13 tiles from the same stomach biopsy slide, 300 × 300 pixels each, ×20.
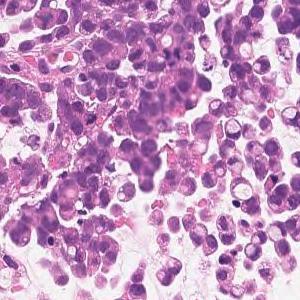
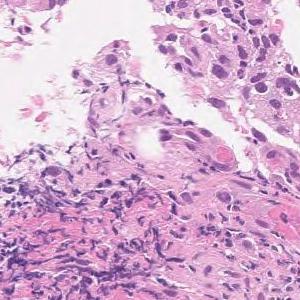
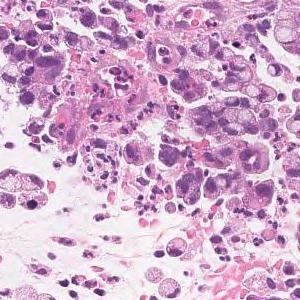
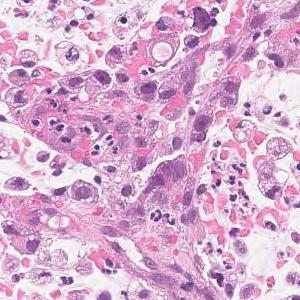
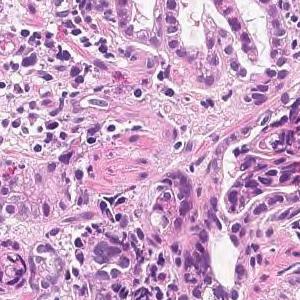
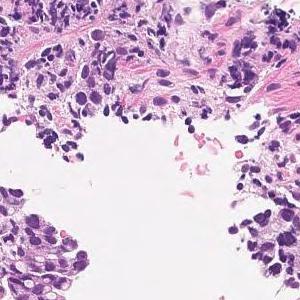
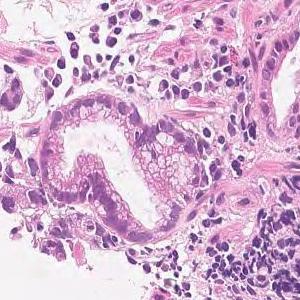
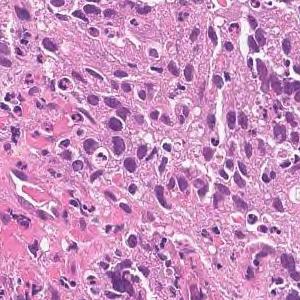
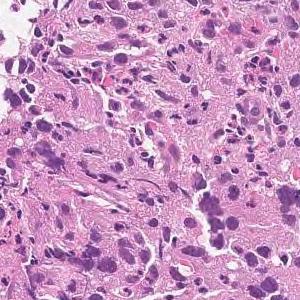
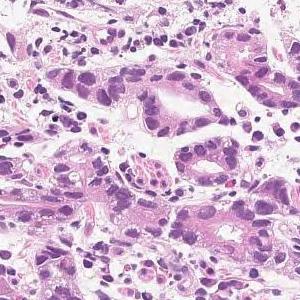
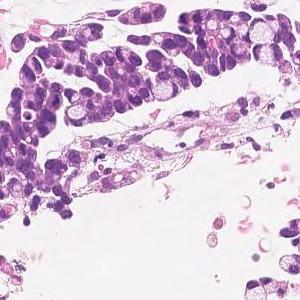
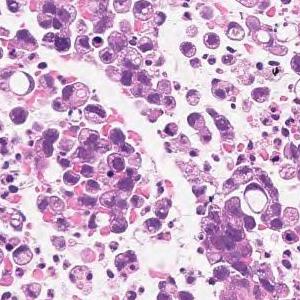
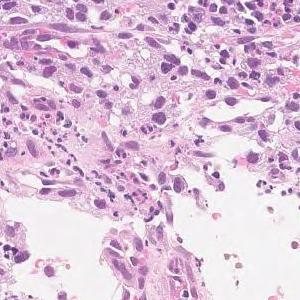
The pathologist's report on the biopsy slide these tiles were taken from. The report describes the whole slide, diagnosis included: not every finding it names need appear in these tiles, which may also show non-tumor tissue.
Medium to small, irregular glandular ducts are formed in the superficial epithelium, and in some cases, the glandular ducts are fused to show solid alveolar lesions and infiltrating tumor tissue is observed. Moderately to poorly differentiated adenocarcinoma.
